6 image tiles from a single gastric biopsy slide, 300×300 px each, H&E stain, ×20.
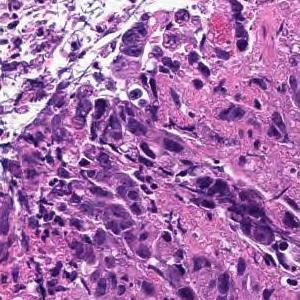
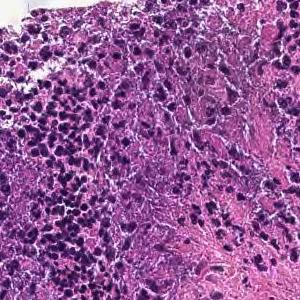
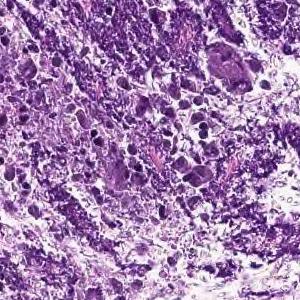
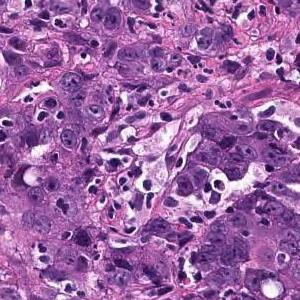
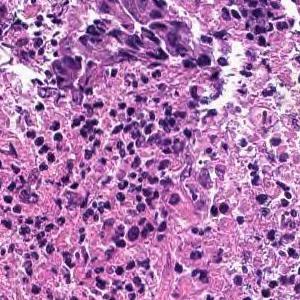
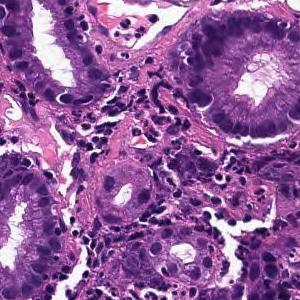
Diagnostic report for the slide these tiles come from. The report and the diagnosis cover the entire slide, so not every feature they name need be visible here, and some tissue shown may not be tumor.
Cancers with polygonal nuclei do not show glandular formation and are densely, in part, cord-like and proliferate. Poorly differentiated adenocarcinoma
Histologic type: Poorly differentiated adenocarcinoma, non-solid type.
"Non-solid type" is a category of the Japanese Classification of Gastric Carcinoma.
